Scanned at ×20; hematoxylin and eosin stain; 9 image tiles from a single gastric biopsy slide.
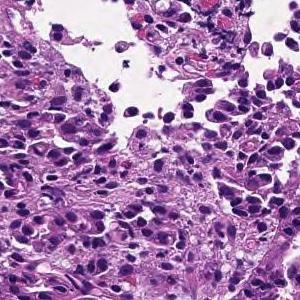
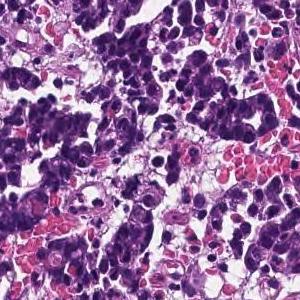
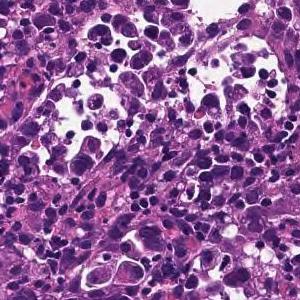
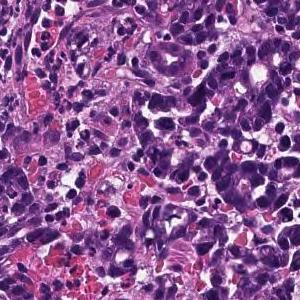
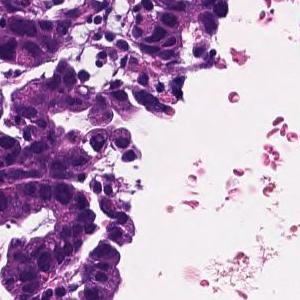
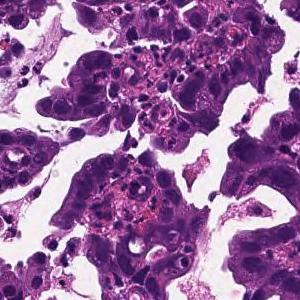
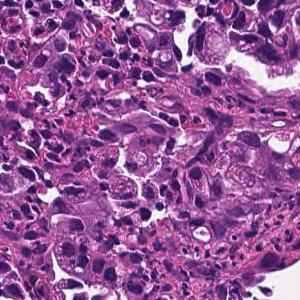
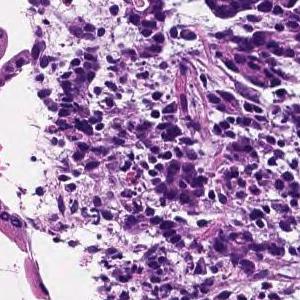
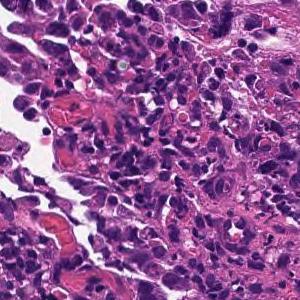
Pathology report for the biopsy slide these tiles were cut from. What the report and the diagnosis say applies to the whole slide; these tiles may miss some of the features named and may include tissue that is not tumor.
In the superficial epithelium, tumor tissue that invades by forming medium-sized to small, irregular ducts is observed. moderately differentiated tubular adenocarcinoma.
